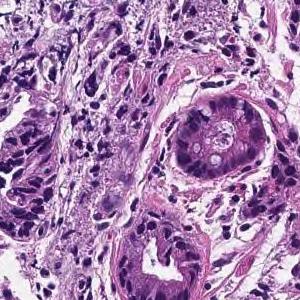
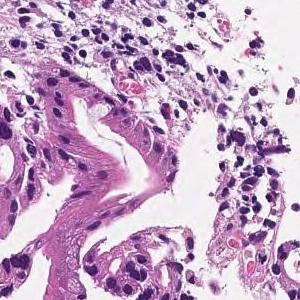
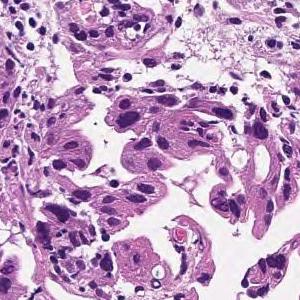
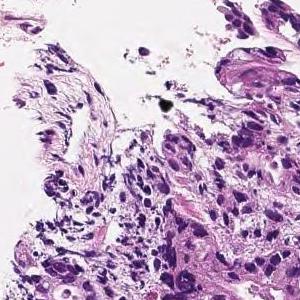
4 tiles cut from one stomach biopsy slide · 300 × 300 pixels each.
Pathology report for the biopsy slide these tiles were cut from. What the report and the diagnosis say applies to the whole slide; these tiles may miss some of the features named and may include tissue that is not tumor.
In the superficial epithelium, tumor tissue that invades by forming medium-sized to small, irregular ducts is observed. moderately differentiated tubular adenocarcinoma.
